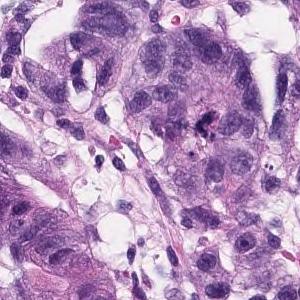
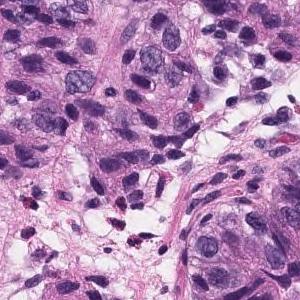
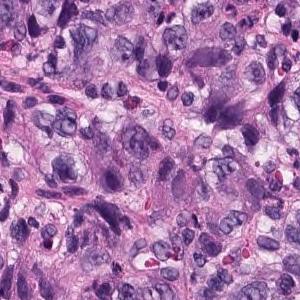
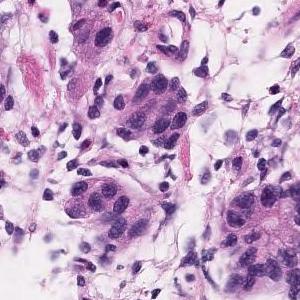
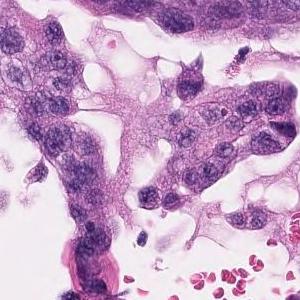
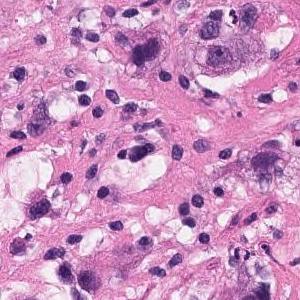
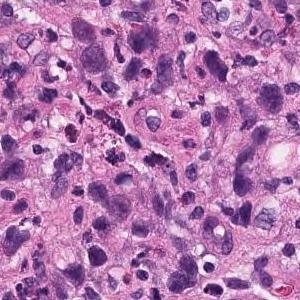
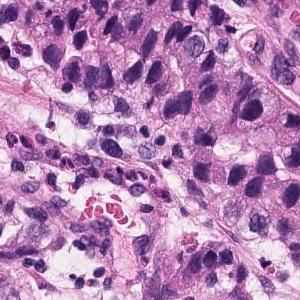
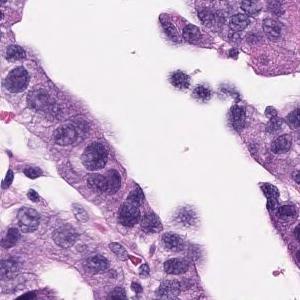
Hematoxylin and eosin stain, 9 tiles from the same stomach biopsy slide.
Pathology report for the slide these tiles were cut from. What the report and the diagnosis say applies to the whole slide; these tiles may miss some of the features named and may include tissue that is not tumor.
Atypical l cells with atypical nuclei forming diffuse or small irregular atypical ducts and growing. Moderately to poorly differentiated adenocarcinoma (poorly differentiated adenocarcinoma, solid type, moderately differentiated tubular adenocarcinoma)
Histological subtype: Moderately to poorly differentiated adenocarcinoma.
"Solid type" is a category of the Japanese Classification of Gastric Carcinoma; in the WHO 2019 classification it is tubular adenocarcinoma, poorly differentiated.
